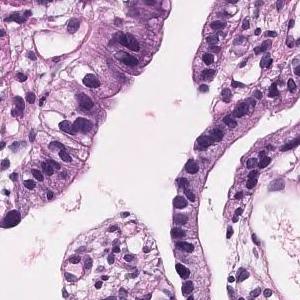
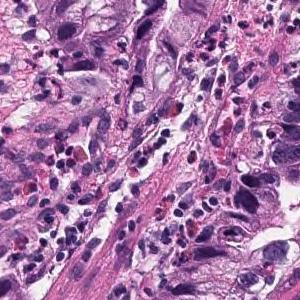
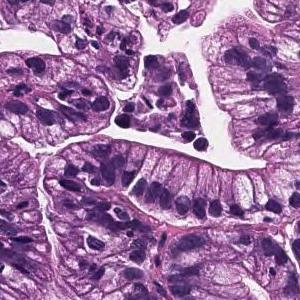
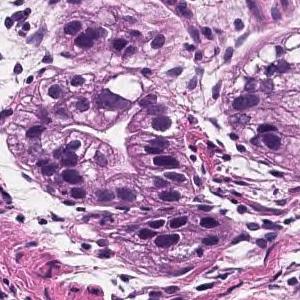
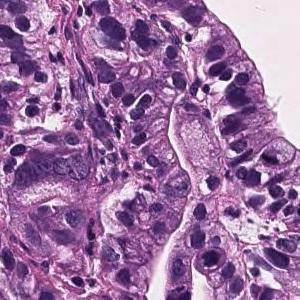
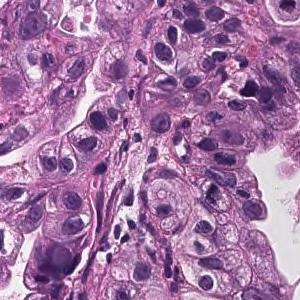
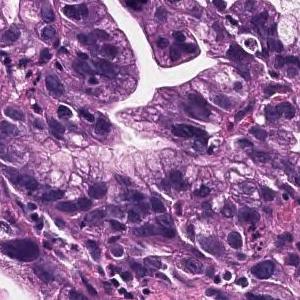
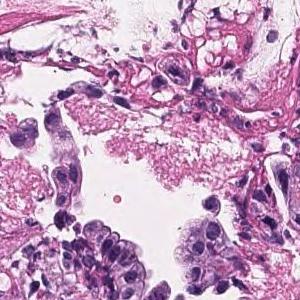
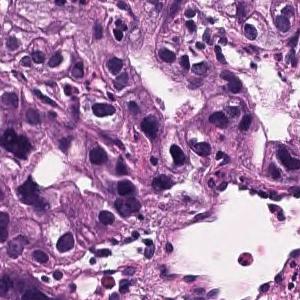
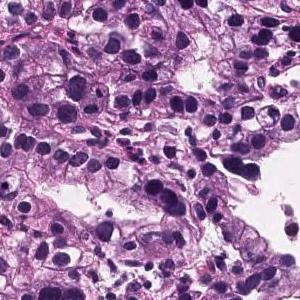
10 patches cut from one gastric biopsy slide · each 300 × 300 pixels · ×20.
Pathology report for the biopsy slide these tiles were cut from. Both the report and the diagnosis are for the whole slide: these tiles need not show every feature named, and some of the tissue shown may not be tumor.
Tumor cells are large, highly columnar, large club-shaped nuclei, and are associated with chromatin aggregation. Papillary adenocarcinoma.
